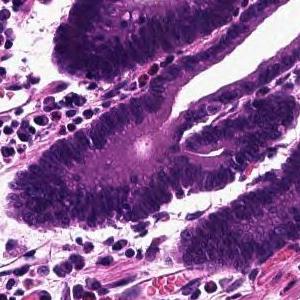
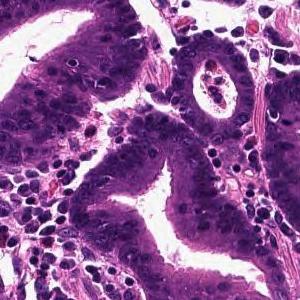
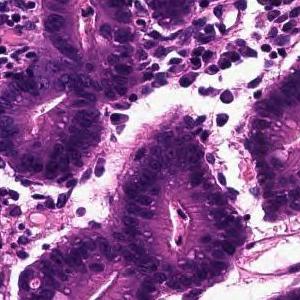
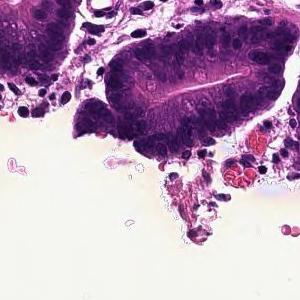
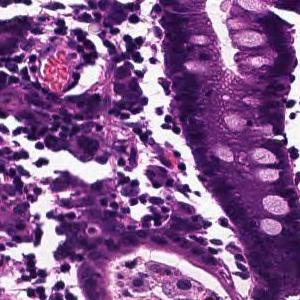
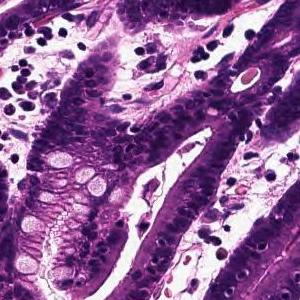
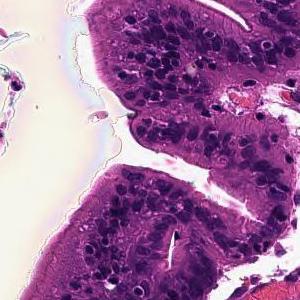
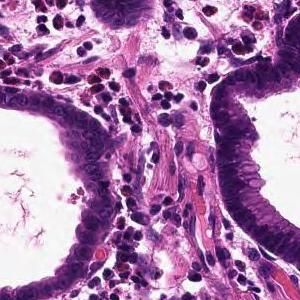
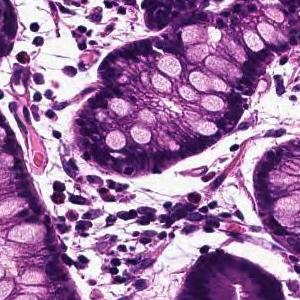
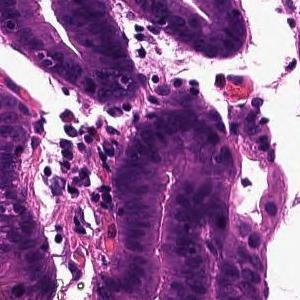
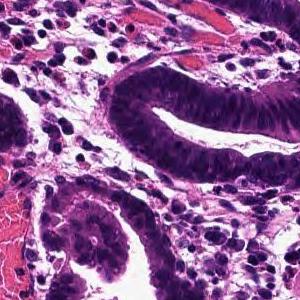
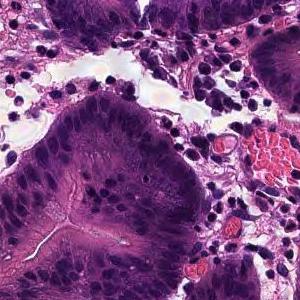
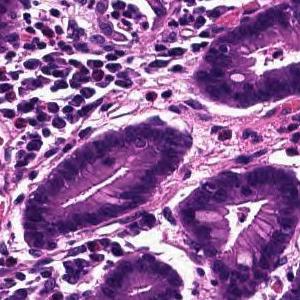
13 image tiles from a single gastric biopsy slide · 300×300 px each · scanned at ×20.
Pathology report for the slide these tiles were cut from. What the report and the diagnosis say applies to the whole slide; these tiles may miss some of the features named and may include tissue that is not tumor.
Tumor tissue that infiltrates by forming large papillary or large irregular glandular ducts is observed confined to the mucosa. Papillary adenocarcinoma
